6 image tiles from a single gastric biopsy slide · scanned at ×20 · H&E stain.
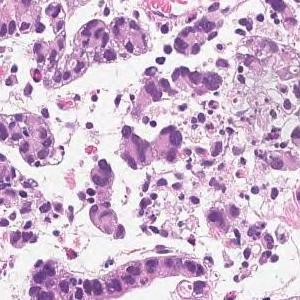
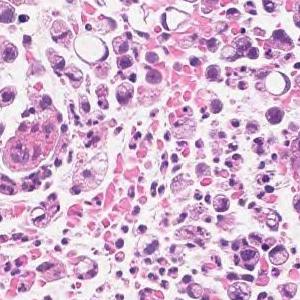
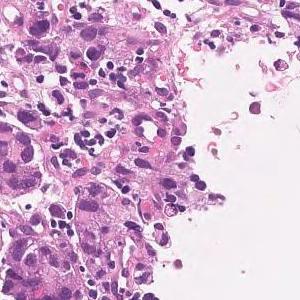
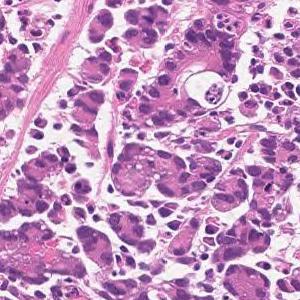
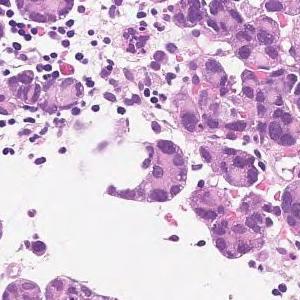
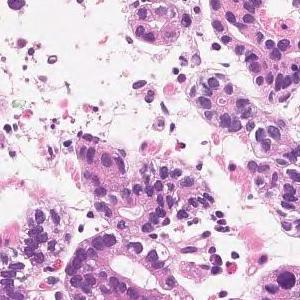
Pathology report for the biopsy slide these tiles were cut from. The findings and the diagnosis refer to the entire slide; these tiles show only part of it, possibly with non-tumor tissue, and may not show every feature named.
Medium to small, irregular glandular ducts are formed in the superficial epithelium, and in some cases, the glandular ducts are fused to show solid alveolar lesions and infiltrating tumor tissue is observed. Moderately to poorly differentiated adenocarcinoma.
